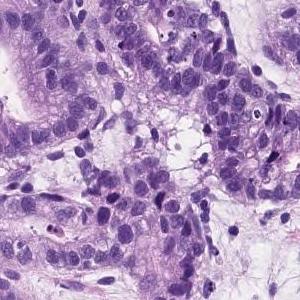
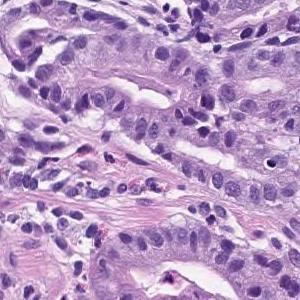
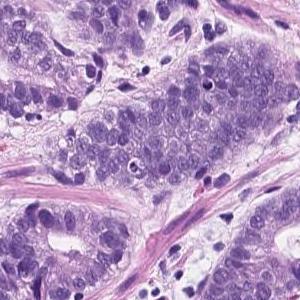
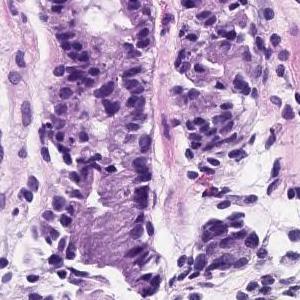
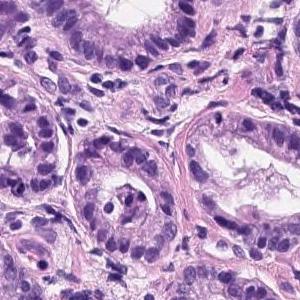
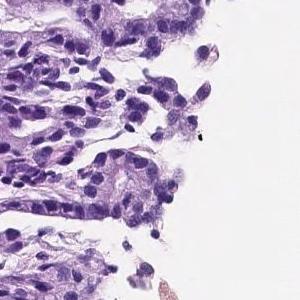
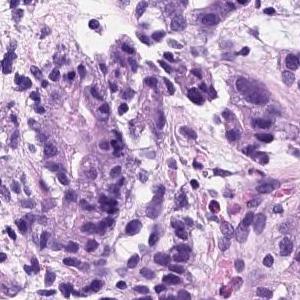
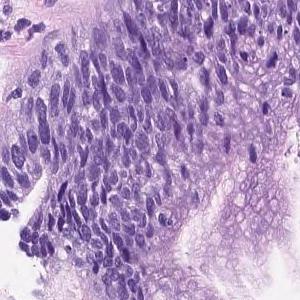
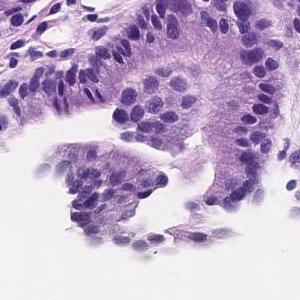
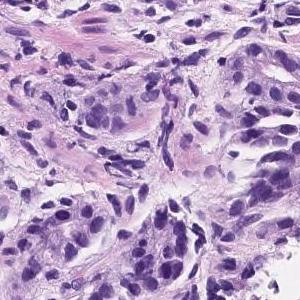
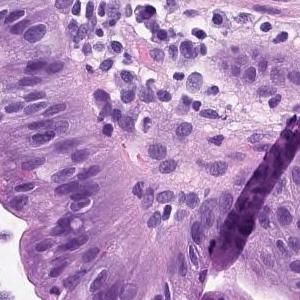
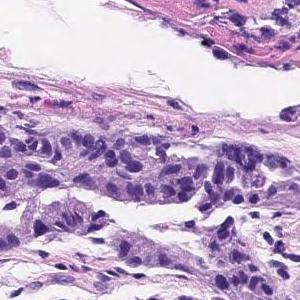
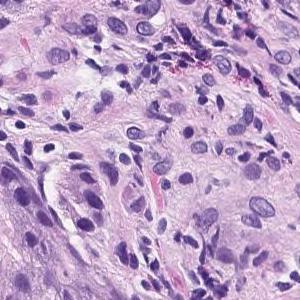
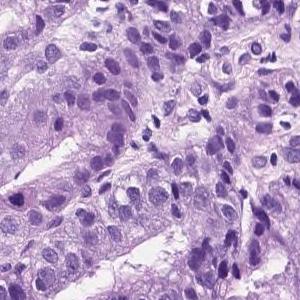
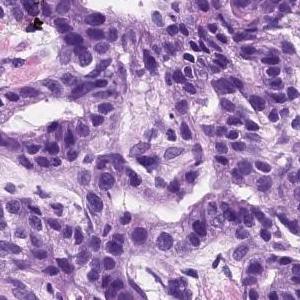
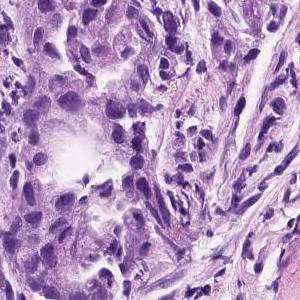
H&E, 20× magnification, 16 tiles cut from one stomach biopsy slide.
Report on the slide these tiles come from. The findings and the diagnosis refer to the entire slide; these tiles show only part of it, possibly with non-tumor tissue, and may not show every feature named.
Tumor tissue consisting of medium-sized and irregular ducts is observed infiltrating in the superficial epithelium. Tumor cells are highly columnar, with nuclei aligned basolaterally and polarized. Well differentiated tubular adenocarcinoma.
